×20, hematoxylin and eosin stain, 15 tiles from the same stomach biopsy slide.
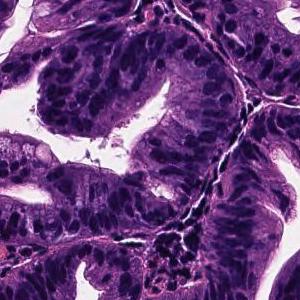
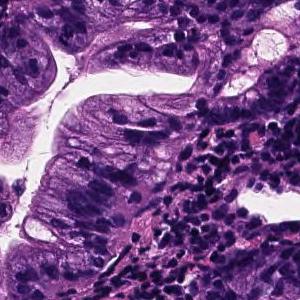
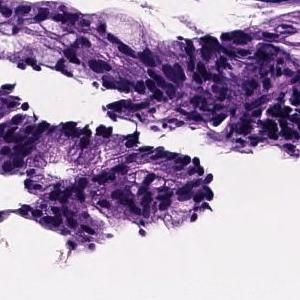
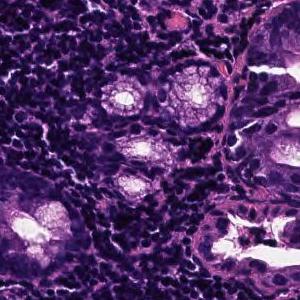
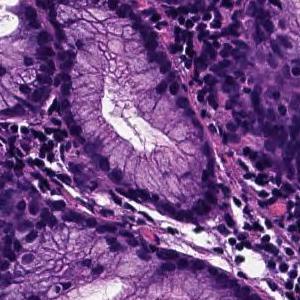
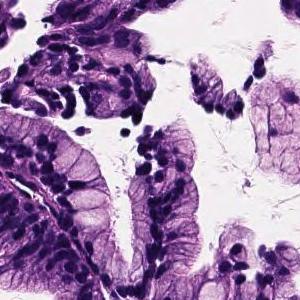
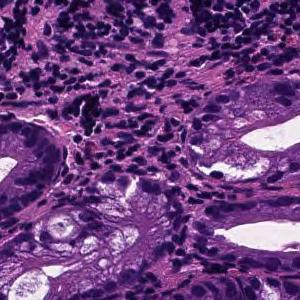
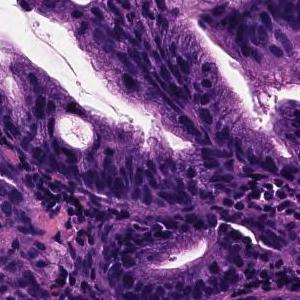
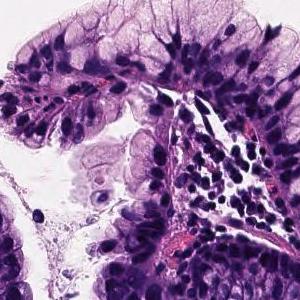
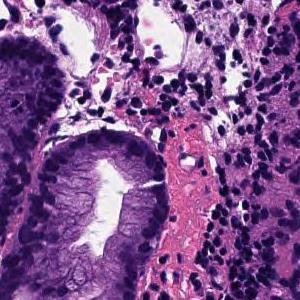
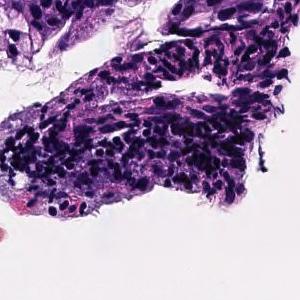
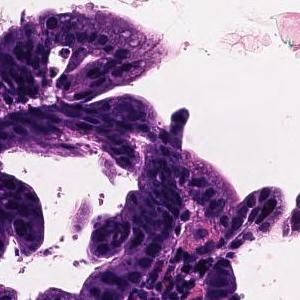
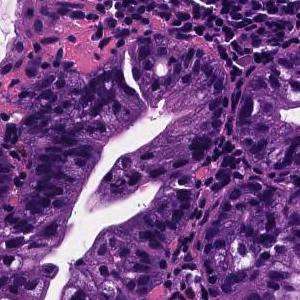
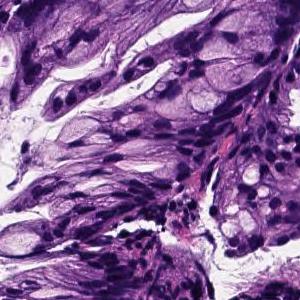
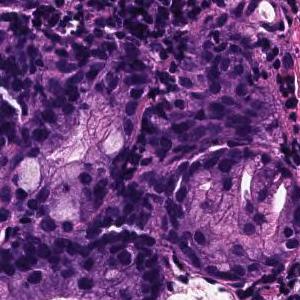
Pathology report for the biopsy slide these tiles were cut from. The findings and the diagnosis refer to the entire slide; these tiles show only part of it, possibly with non-tumor tissue, and may not show every feature named.
On the superficial epithelium, tumor tissue that infiltrates by forming medium-sized papillary or small irregular ducts is observed. Papillary adenocarcinoma
